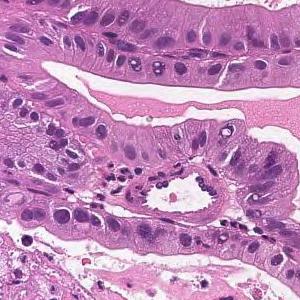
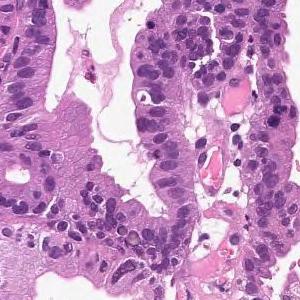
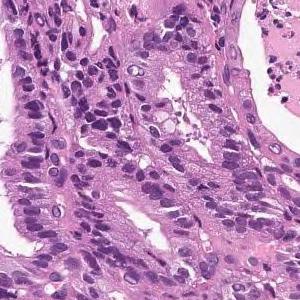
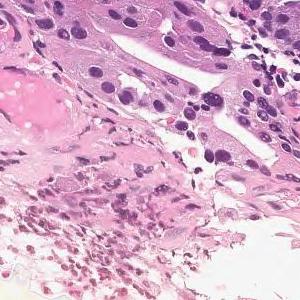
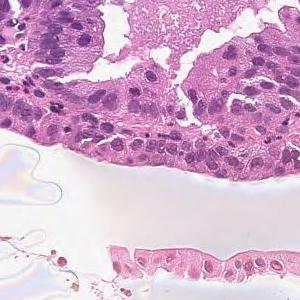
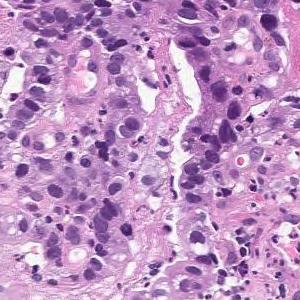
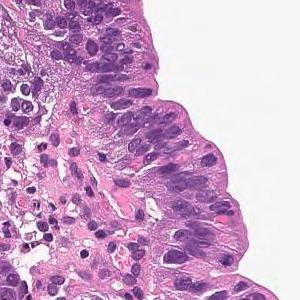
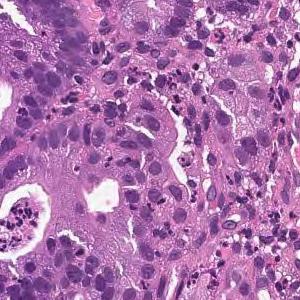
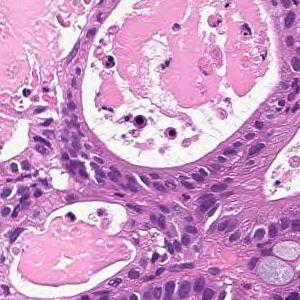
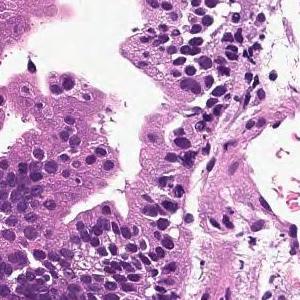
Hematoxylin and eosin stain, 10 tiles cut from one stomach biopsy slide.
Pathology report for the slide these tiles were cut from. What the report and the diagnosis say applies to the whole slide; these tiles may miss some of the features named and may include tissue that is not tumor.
From the superficial epithelium to the muscularis mucosae, tumor tissue consisting of medium-sized and irregular glandular ducts infiltrating is observed. Well differentiated tubular adenocarcinoma
